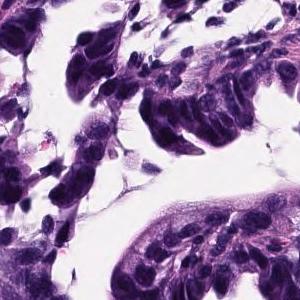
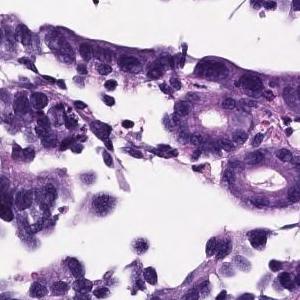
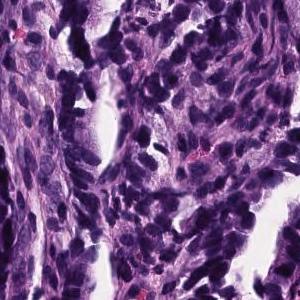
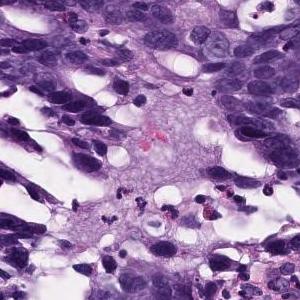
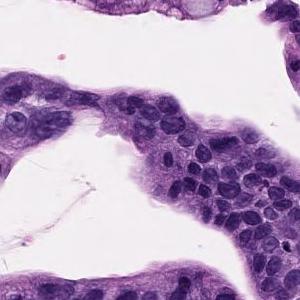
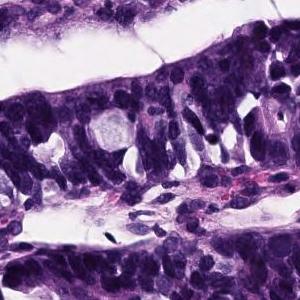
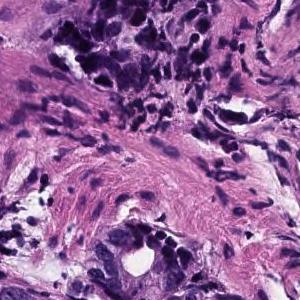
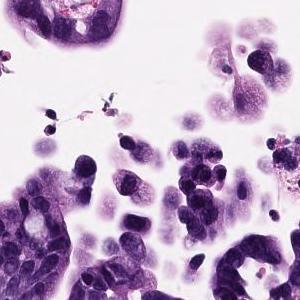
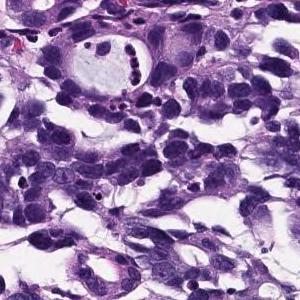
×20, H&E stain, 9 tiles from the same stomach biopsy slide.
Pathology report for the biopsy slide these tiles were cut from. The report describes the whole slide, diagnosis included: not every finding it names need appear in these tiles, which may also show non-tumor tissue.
Atypical epithelium proliferating showing villus construction and irregular gland duct construction is observed. Moderately differentiated tubular adenocarcinoma.
